×20, H&E stain, 14 tiles from the same stomach biopsy slide.
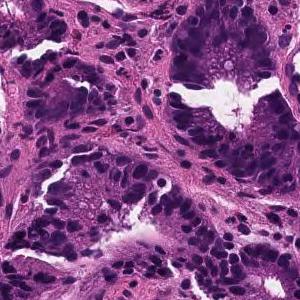
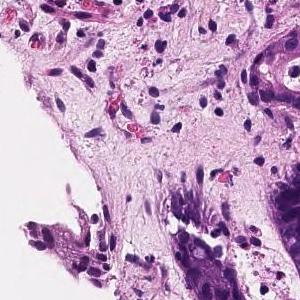
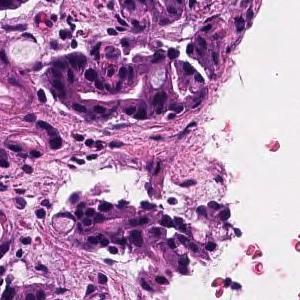
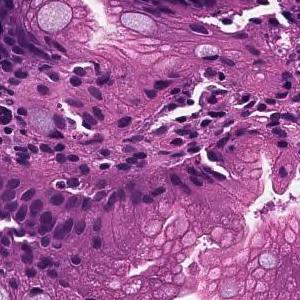
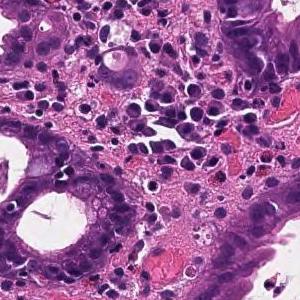
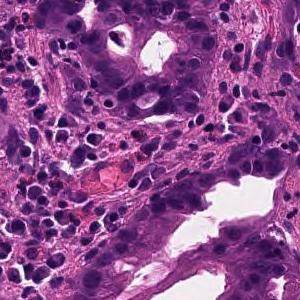
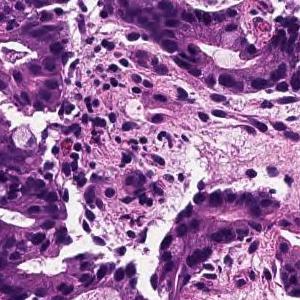
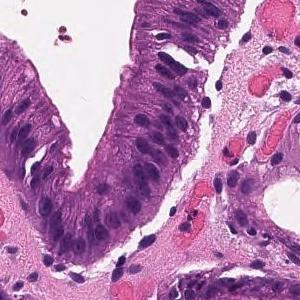
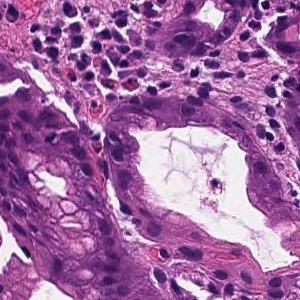
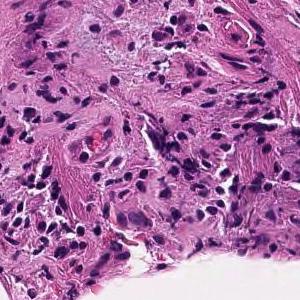
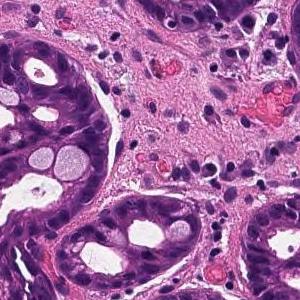
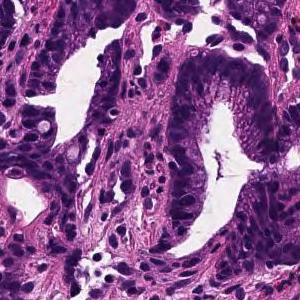
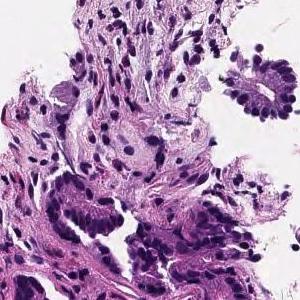
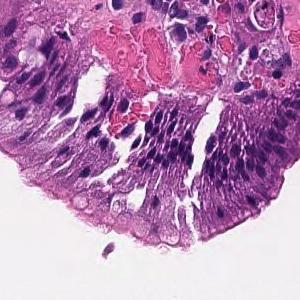
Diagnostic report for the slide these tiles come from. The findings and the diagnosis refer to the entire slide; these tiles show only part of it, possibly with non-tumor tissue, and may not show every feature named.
From the superficial epithelium to the muscularis mucosae, tumor tissue consisting of medium-sized and irregular glandular ducts infiltrating is observed. Well differentiated tubular adenocarcinoma
